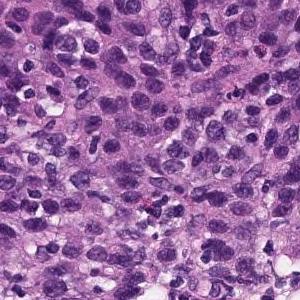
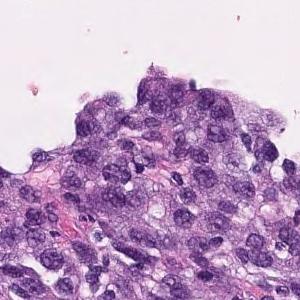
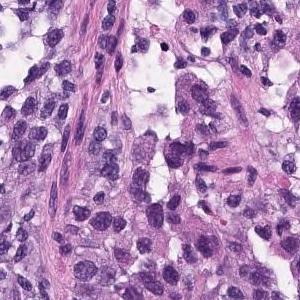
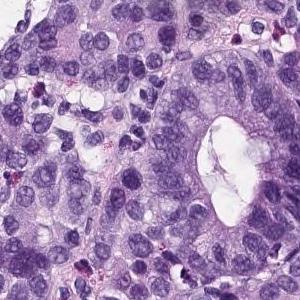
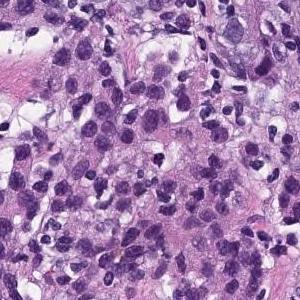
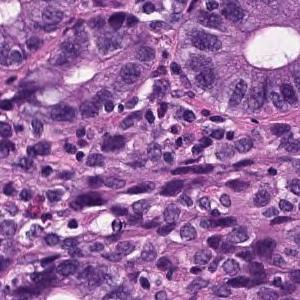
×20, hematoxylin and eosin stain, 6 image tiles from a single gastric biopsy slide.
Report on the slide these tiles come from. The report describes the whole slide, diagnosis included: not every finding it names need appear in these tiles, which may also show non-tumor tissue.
In the superficial epithelium, tumor tissue that invades by forming medium-sized to small, irregular ducts is observed. Moderately differentiated adenocarcinoma.
Classified as moderately differentiated tubular adenocarcinoma.
